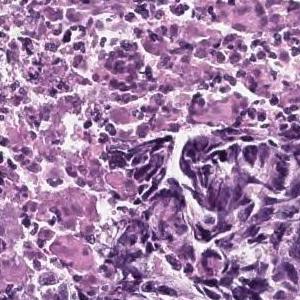
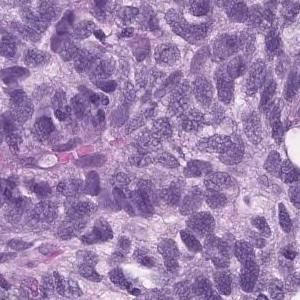
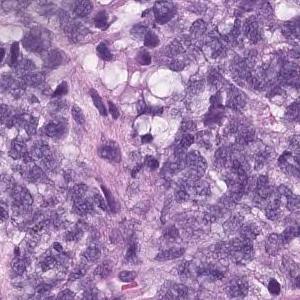
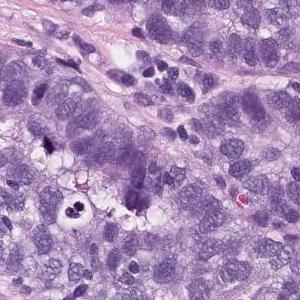
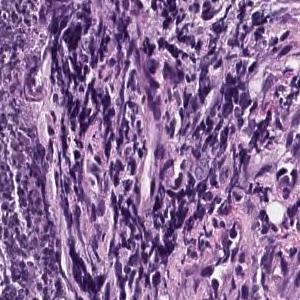
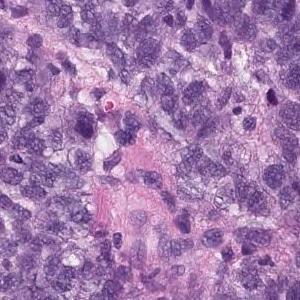
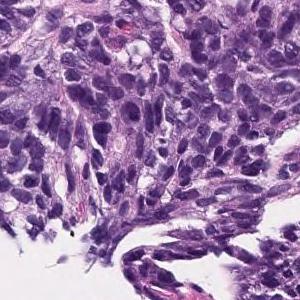
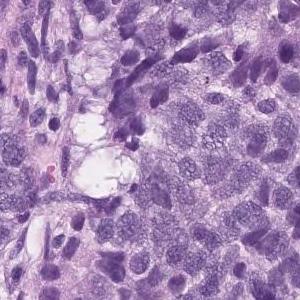
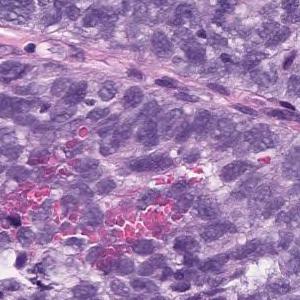
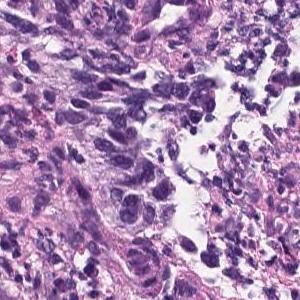
Scanned at ×20; hematoxylin and eosin stain; 10 tiles from the same stomach biopsy slide.
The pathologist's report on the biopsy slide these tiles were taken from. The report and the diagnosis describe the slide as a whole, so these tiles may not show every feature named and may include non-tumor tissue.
Epithelial cells with swollen nuclei with atypia invasively proliferating while forming vesicles is observed. Poorly differentiated adenocarcinoma
Tumor subtype: poorly differentiated adenocarcinoma, solid type, a category of the Japanese Classification of Gastric Carcinoma; in the WHO 2019 classification it is tubular adenocarcinoma, poorly differentiated.
